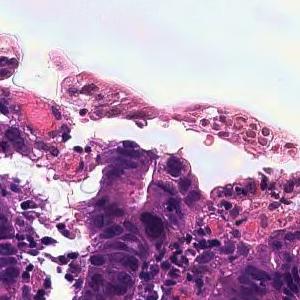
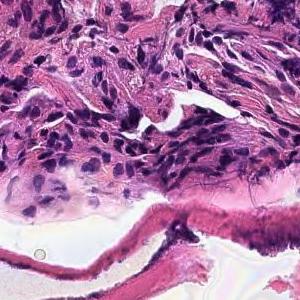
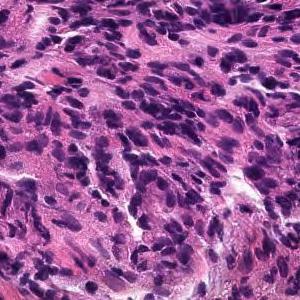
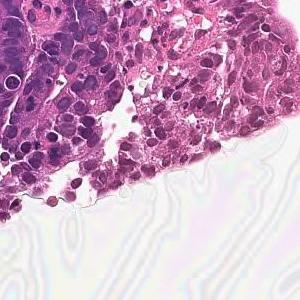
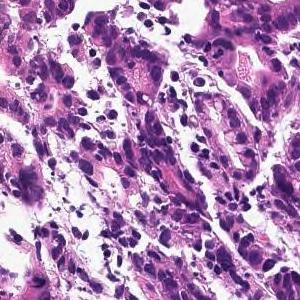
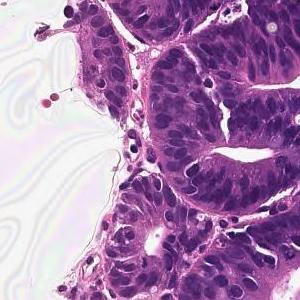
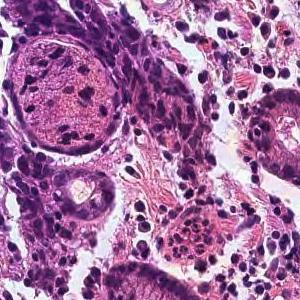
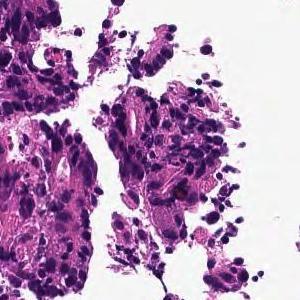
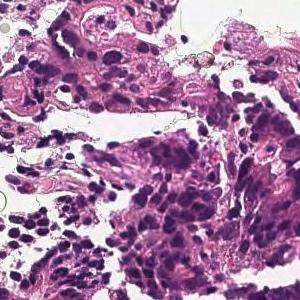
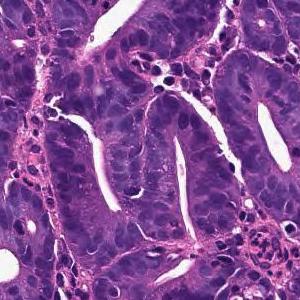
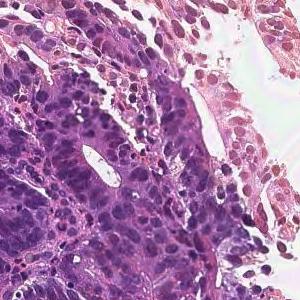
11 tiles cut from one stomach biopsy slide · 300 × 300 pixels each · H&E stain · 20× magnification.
Pathology report for the biopsy slide these tiles were cut from. The report and the diagnosis cover the entire slide, so not every feature they name need be visible here, and some tissue shown may not be tumor.
On the superficial epithelium, tumor tissue consisting of large irregular glandular ducts partially fused and infiltrated is observed. Well to moderately differentiated tubular adenocarcinoma (well differentiated tubular adenocarcinoma, moderately differentiated tubular adenocarcinoma)
Histological subtype: Well to moderately differentiated tubular adenocarcinoma.
